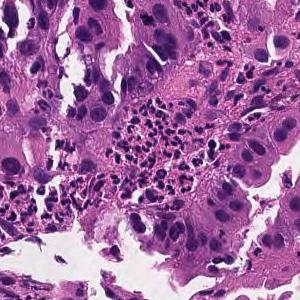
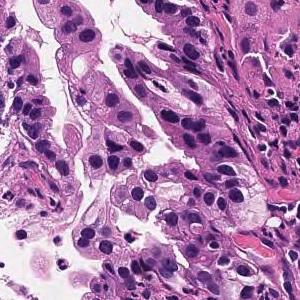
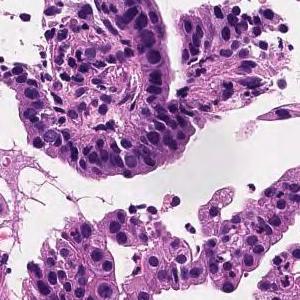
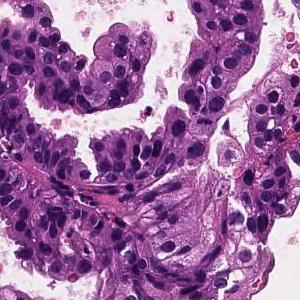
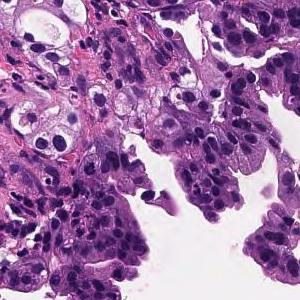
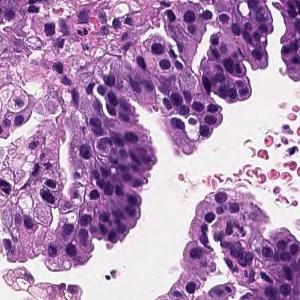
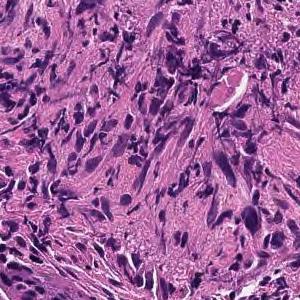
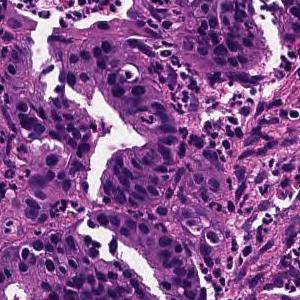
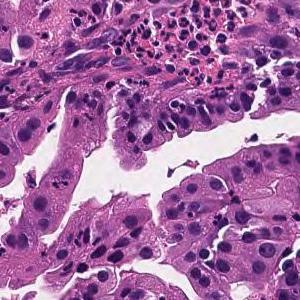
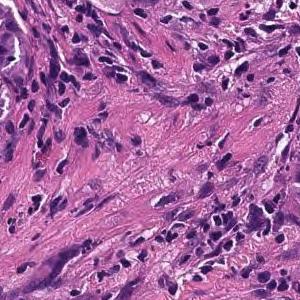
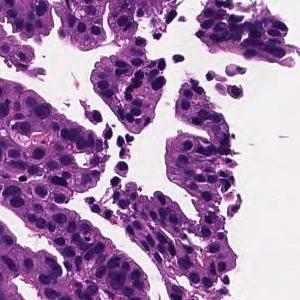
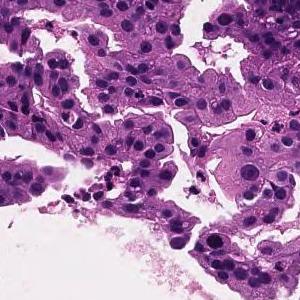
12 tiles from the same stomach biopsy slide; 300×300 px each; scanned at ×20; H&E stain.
Pathology report for the slide these tiles were cut from. What the report and the diagnosis say applies to the whole slide; these tiles may miss some of the features named and may include tissue that is not tumor.
On the superficial epithelium, tumor tissue consisting of large, irregular glandular ducts partially fused and infiltrated is observed. Well to moderately differentiated tubular adenocarcinoma (well differentiated tubular adenocarcinoma, moderately differentiated tubular adenocarcinoma)
Classified as well to moderately differentiated tubular adenocarcinoma.
